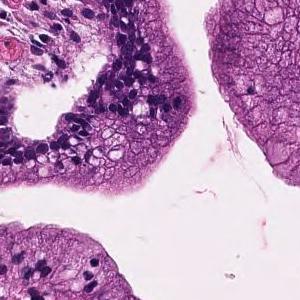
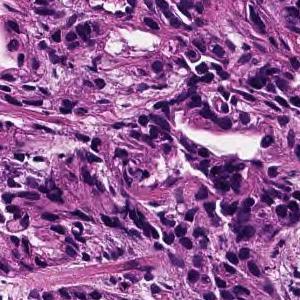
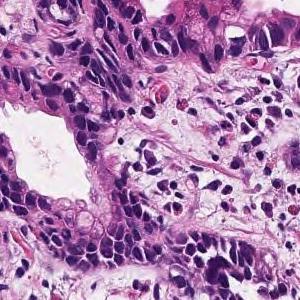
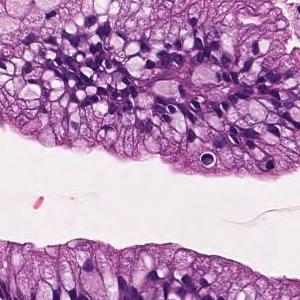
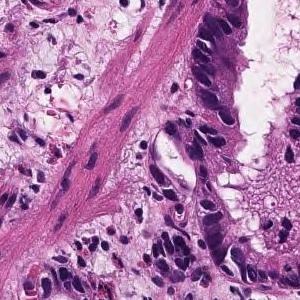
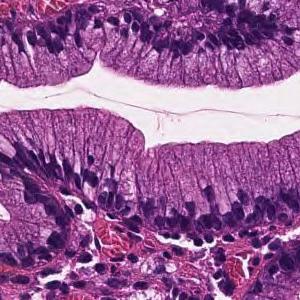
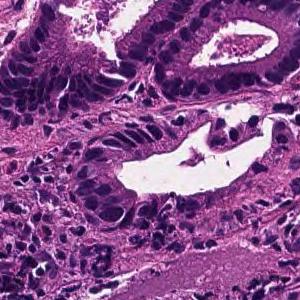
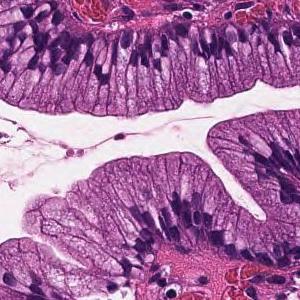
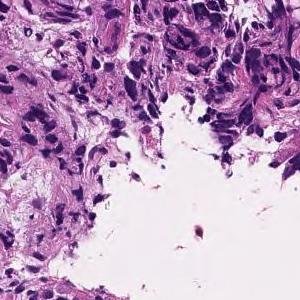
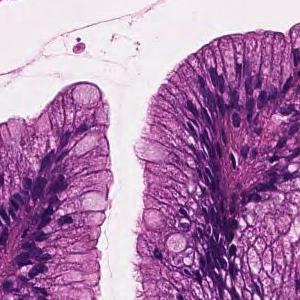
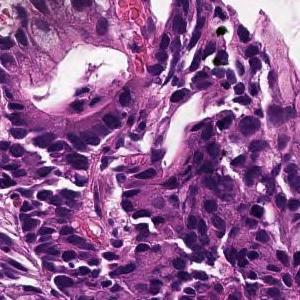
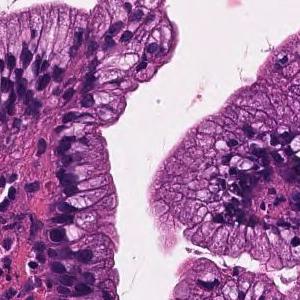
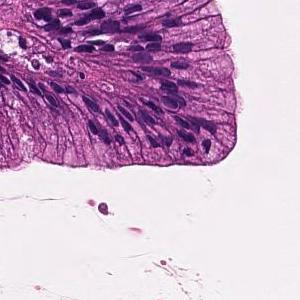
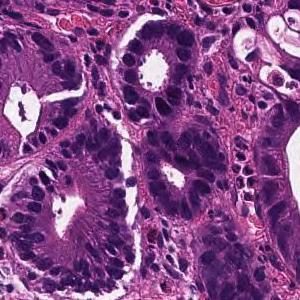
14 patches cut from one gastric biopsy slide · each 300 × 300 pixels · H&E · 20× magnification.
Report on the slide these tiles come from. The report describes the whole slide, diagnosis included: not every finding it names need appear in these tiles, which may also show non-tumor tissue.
On the superficial epithelium, tumor tissue consisting of medium-sized and irregular glandular ducts partially fused and infiltrated is observed. Well to moderately differentiated tubular adenocarcinoma (well differentiated tubular adenocarcinoma-moderately differentiated tubular adenocarcinoma)
Tumor subtype: well to moderately differentiated tubular adenocarcinoma.
